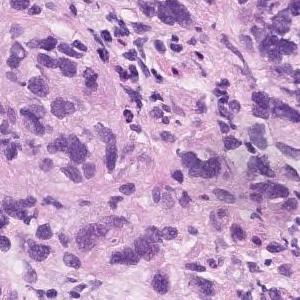
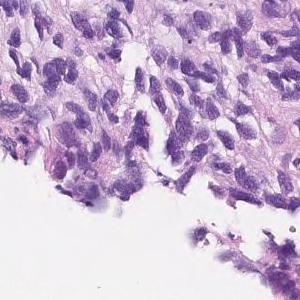
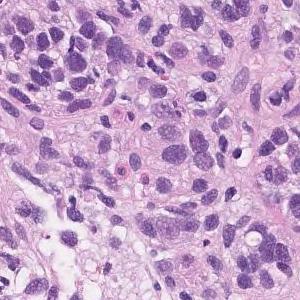
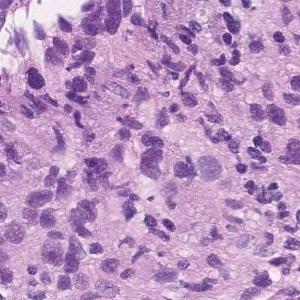
4 patches cut from one gastric biopsy slide, hematoxylin and eosin stain, scanned at ×20.
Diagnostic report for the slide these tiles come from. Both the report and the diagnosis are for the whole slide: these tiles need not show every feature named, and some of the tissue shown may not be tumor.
Atypical l cells with atypical nuclei under the mucosa growing in isolation and scattered. Poorly differentiated adenocarcinoma (poorly differentiated adenocarcinoma, non-solid type)
Histologic type: Poorly differentiated adenocarcinoma, non-solid type.
The non-solid type named here is a Japanese Classification of Gastric Carcinoma category.
